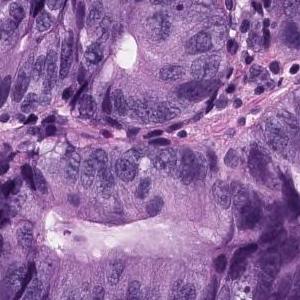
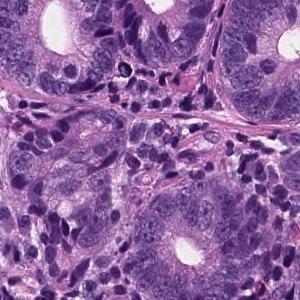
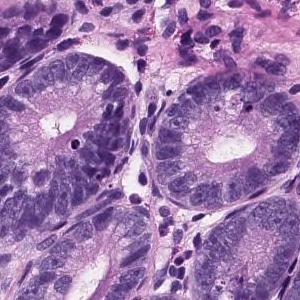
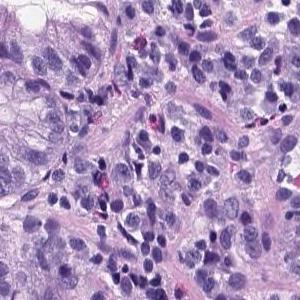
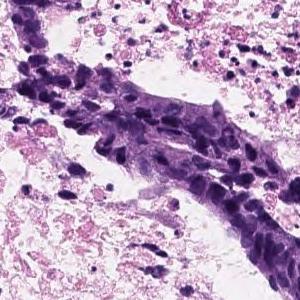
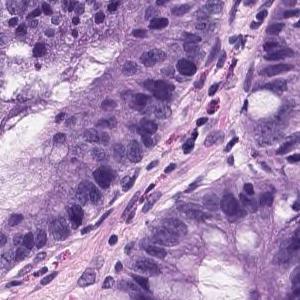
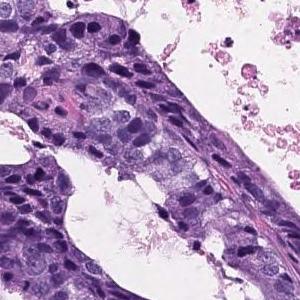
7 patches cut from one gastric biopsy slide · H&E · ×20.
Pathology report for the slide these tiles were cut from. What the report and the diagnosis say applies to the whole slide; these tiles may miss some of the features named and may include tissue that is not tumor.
Tumor tissue consisting of medium-sized and irregular ducts is observed infiltrating in the superficial epithelium. Tumor cells are highly columnar, with nuclei aligned basolaterally and polarized. Well differentiated tubular adenocarcinoma.
